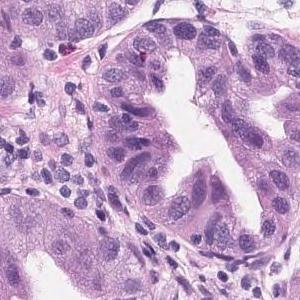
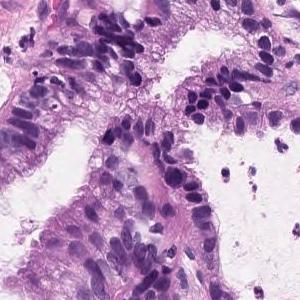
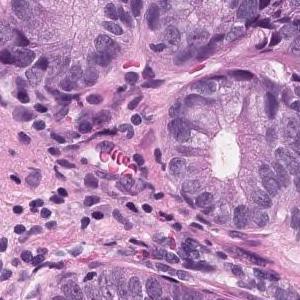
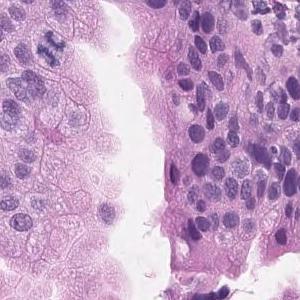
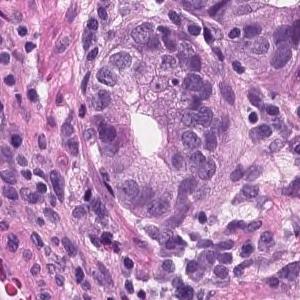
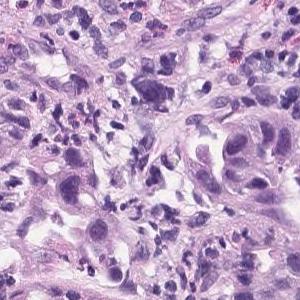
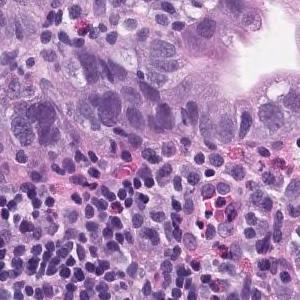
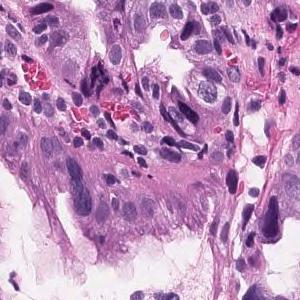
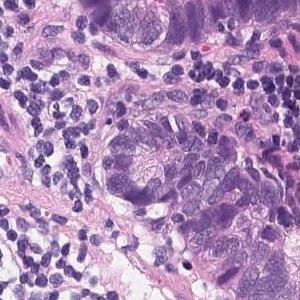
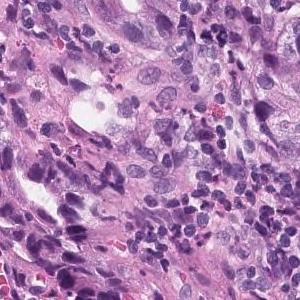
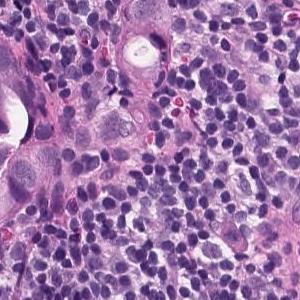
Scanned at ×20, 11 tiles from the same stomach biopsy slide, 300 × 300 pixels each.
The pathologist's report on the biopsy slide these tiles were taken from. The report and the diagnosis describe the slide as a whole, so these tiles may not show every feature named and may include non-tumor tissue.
Tumor tissue consisting of medium-sized and irregular ducts is observed infiltrating in the superficial epithelium. Tumor cells are highly columnar, with nuclei aligned basolaterally and polarized. Well differentiated tubular adenocarcinoma.
